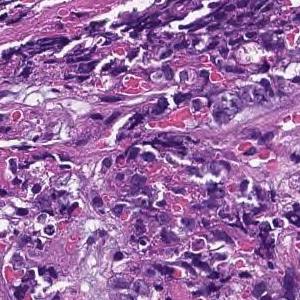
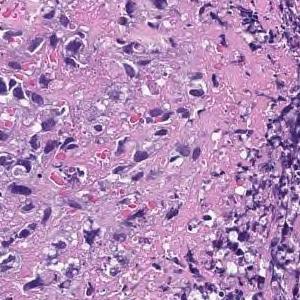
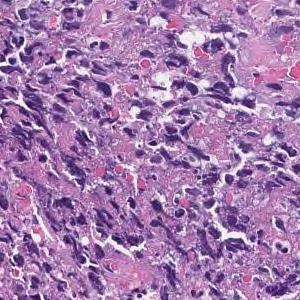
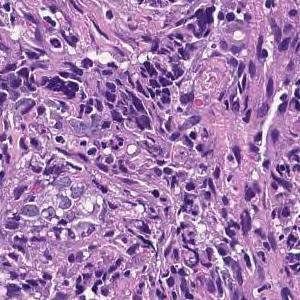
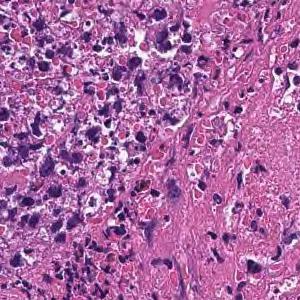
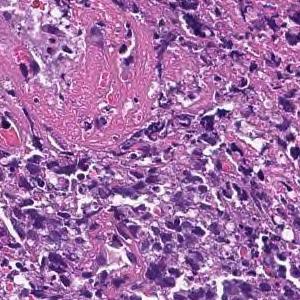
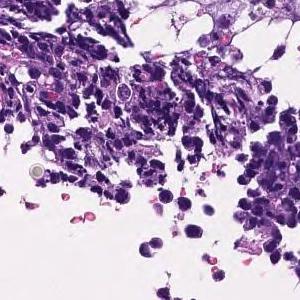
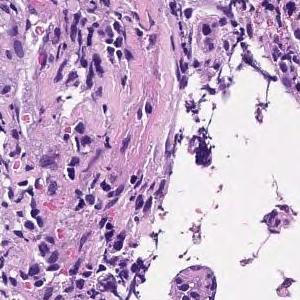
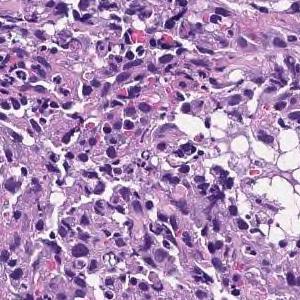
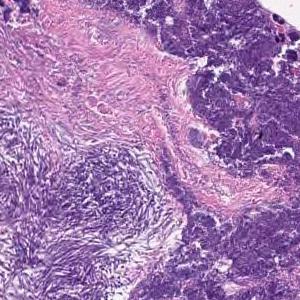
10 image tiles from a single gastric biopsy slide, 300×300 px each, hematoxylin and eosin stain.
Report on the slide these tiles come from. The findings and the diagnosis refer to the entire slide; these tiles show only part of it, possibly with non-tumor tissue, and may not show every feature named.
Most are composed of coagulative necrotic tissue, but some show a large sheet-like shape, and some show tumor tissue infiltrating with a small cord-like structure. Poorly differentiated adenocarcinoma, solid-type
Subtype: Poorly differentiated adenocarcinoma, solid type. This name comes from the Japanese Classification of Gastric Carcinoma; the WHO 2019 classification calls it tubular adenocarcinoma, poorly differentiated.
